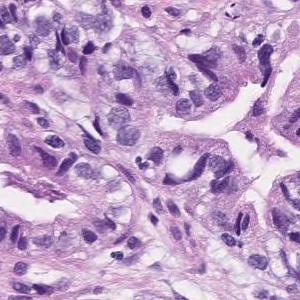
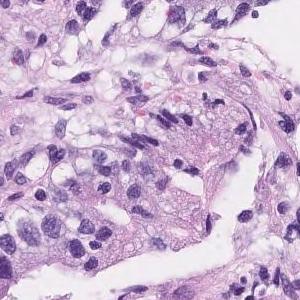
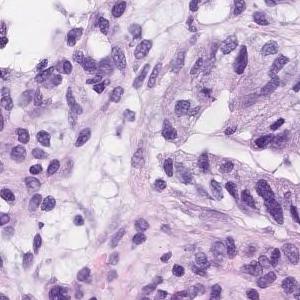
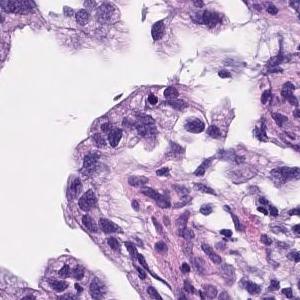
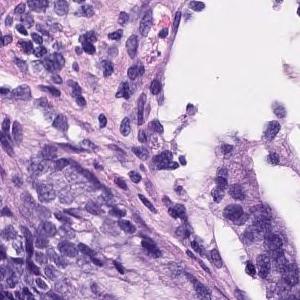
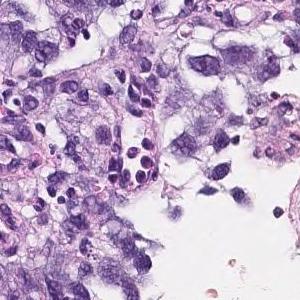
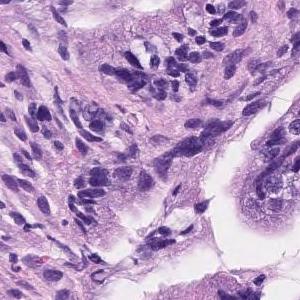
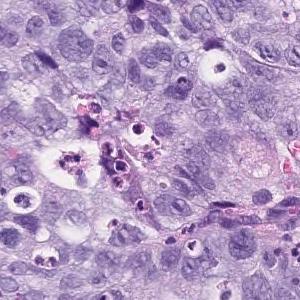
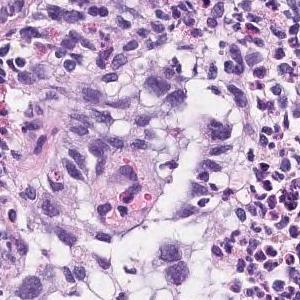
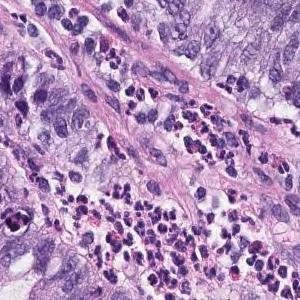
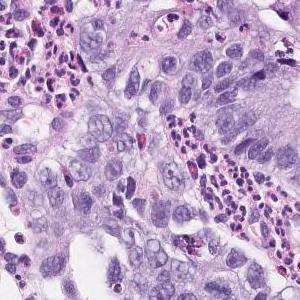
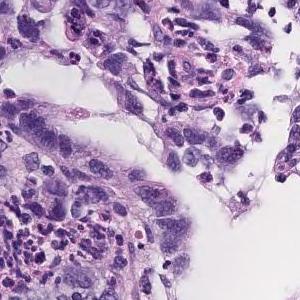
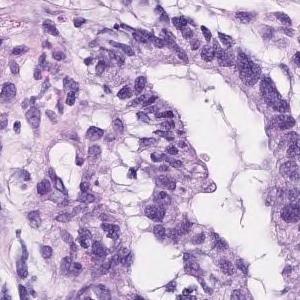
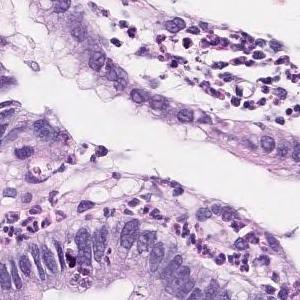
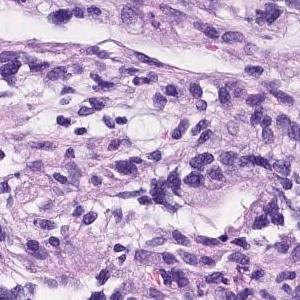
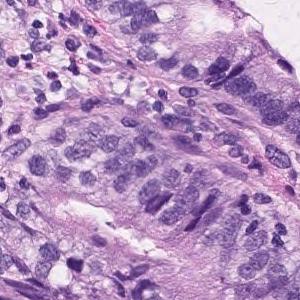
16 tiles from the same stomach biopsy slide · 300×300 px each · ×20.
Report on the slide these tiles come from. The report and the diagnosis describe the slide as a whole, so these tiles may not show every feature named and may include non-tumor tissue.
Tumor cells are large, highly columnar, large club-shaped nuclei, and are associated with chromatin aggregation. Papillary adenocarcinoma.
